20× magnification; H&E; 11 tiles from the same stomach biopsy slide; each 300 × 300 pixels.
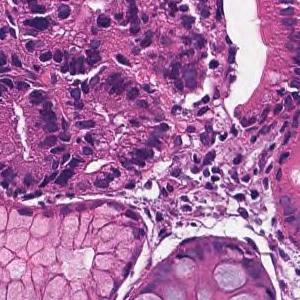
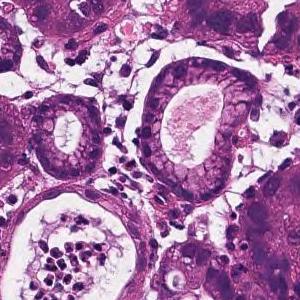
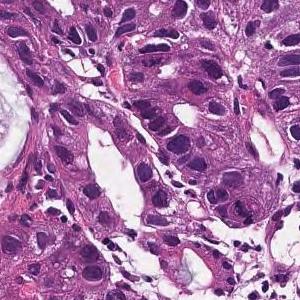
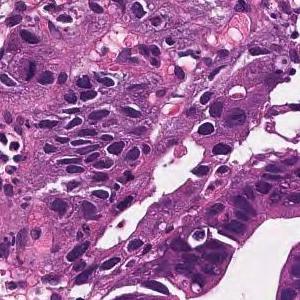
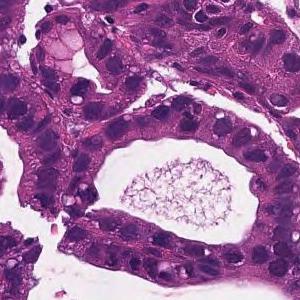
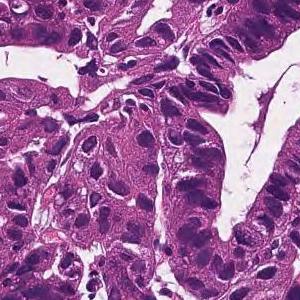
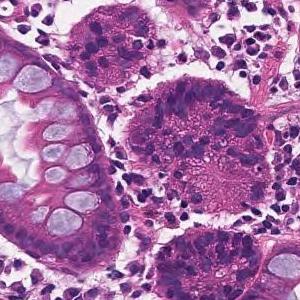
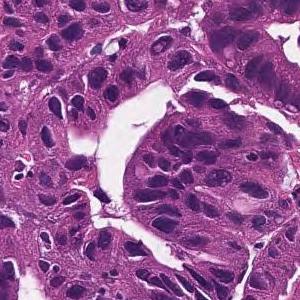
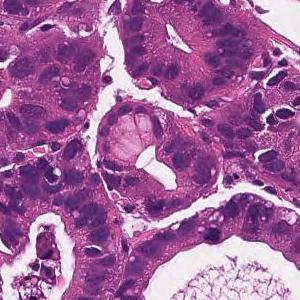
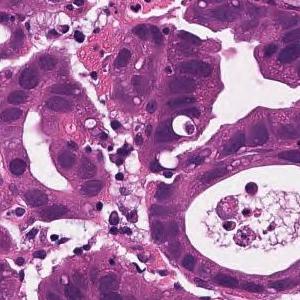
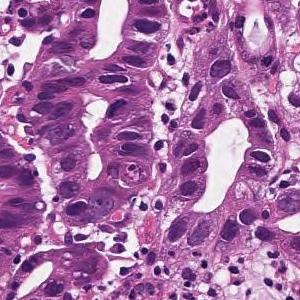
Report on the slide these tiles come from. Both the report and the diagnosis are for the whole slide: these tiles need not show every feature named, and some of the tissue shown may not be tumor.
In the superficial epithelium, tumor tissue that invades by forming medium-sized to small, irregular ducts is observed. moderately differentiated tubular adenocarcinoma.
